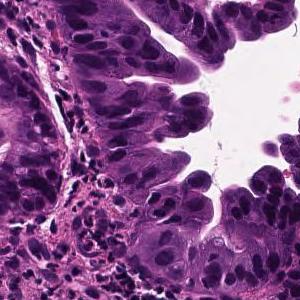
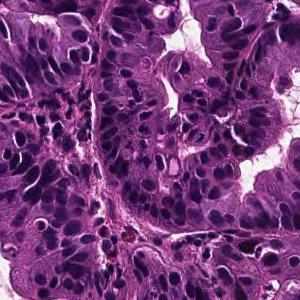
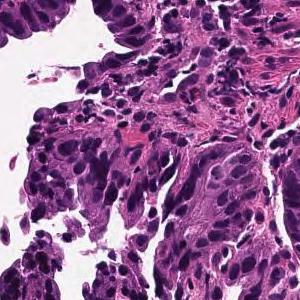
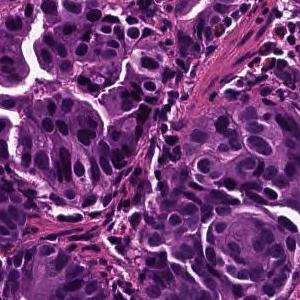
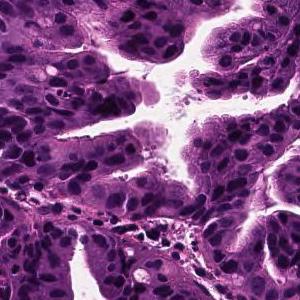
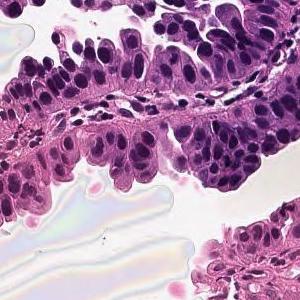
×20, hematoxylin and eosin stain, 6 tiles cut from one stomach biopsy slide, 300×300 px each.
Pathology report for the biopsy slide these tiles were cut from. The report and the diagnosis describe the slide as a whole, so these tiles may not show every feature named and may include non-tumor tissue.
Tumor cells are large, highly columnar, large club-shaped nuclei, and are associated with chromatin aggregation. Papillary adenocarcinoma.
